H&E, ×20, 9 tiles from the same stomach biopsy slide, 300 × 300 pixels each.
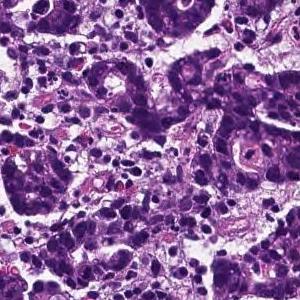
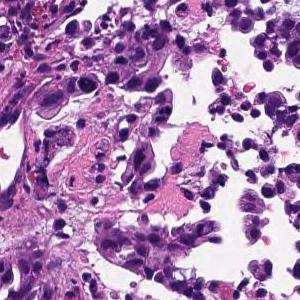
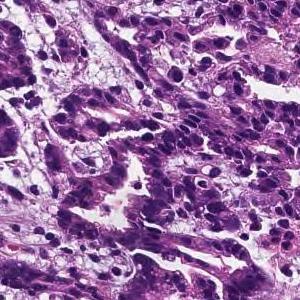
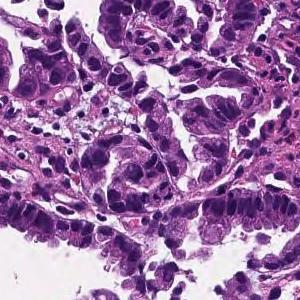
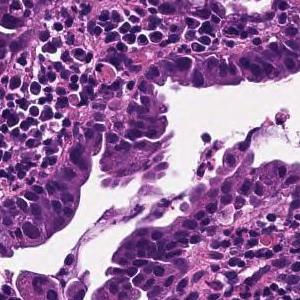
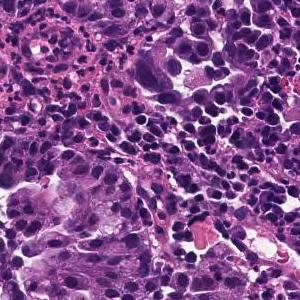
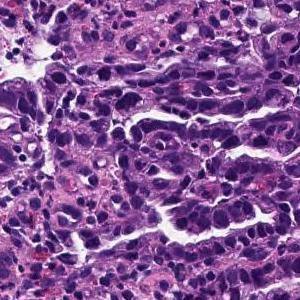
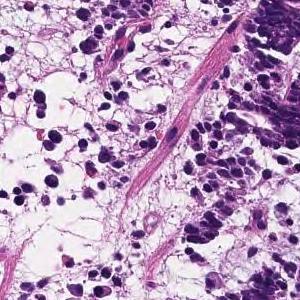
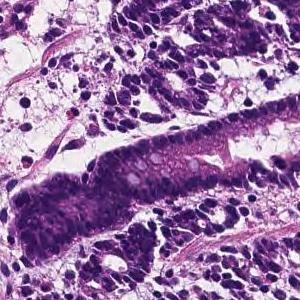
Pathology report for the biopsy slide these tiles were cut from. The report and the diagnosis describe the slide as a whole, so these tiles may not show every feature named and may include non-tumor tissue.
In the superficial epithelium, tumor tissue that invades by forming medium-sized to small, irregular ducts is observed. moderately differentiated tubular adenocarcinoma.
